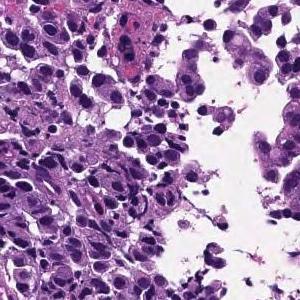
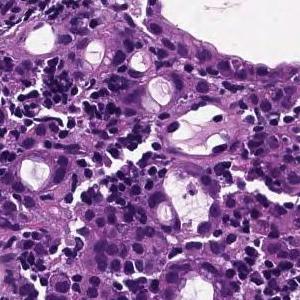
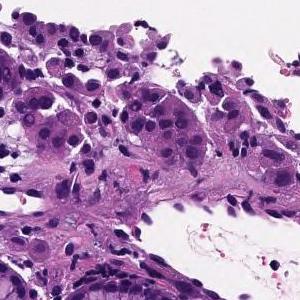
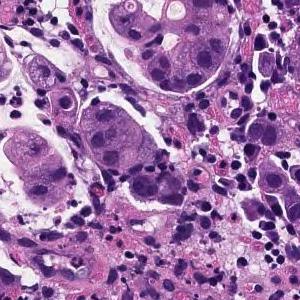
Hematoxylin and eosin stain; scanned at ×20; 4 patches cut from one gastric biopsy slide; 300×300 px each.
Report on the slide these tiles come from. Both the report and the diagnosis are for the whole slide: these tiles need not show every feature named, and some of the tissue shown may not be tumor.
The superficial epithelium shows a large sheet-like shape, and some tumor tissue infiltrates with small irregular ducts. Poorly differentiated adenocarcinoma, solid-type
Histological subtype: Poorly differentiated adenocarcinoma, solid type (Japanese Classification of Gastric Carcinoma). The WHO 2019 equivalent is tubular adenocarcinoma, poorly differentiated.
